6 patches cut from one gastric biopsy slide · ×20 · H&E.
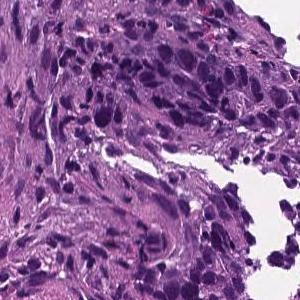
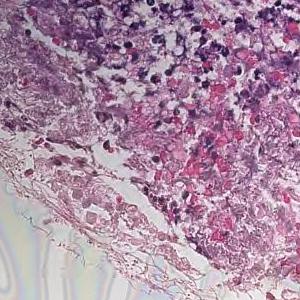
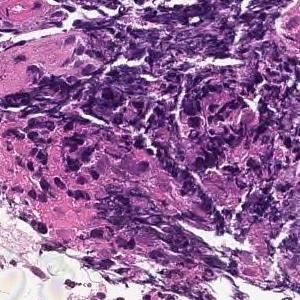
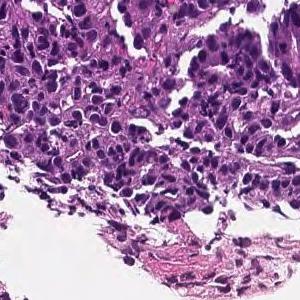
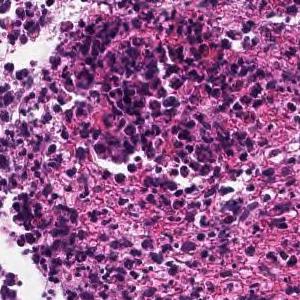
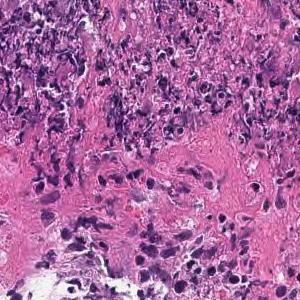
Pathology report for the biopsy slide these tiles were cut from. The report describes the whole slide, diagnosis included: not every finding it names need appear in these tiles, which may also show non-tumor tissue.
In the superficial epithelium, tumor tissue that invades by forming medium-sized to small, irregular ducts is observed. moderately differentiated tubular adenocarcinoma.
